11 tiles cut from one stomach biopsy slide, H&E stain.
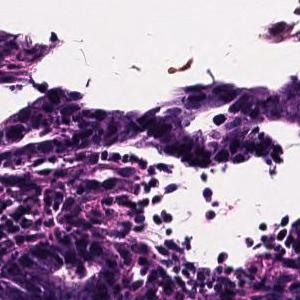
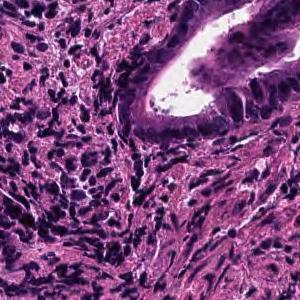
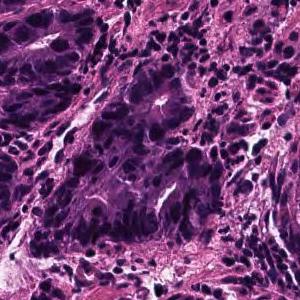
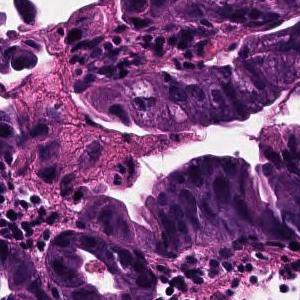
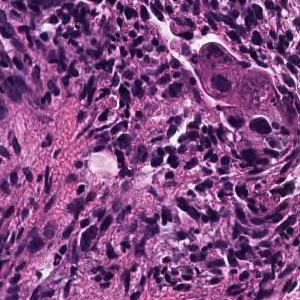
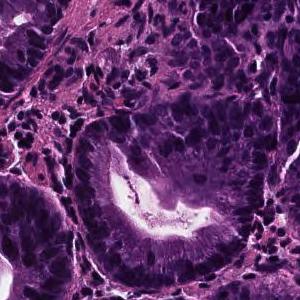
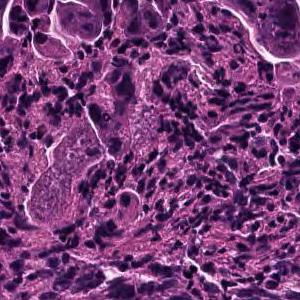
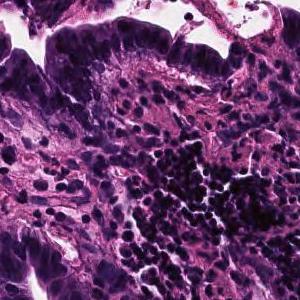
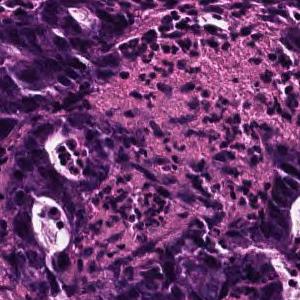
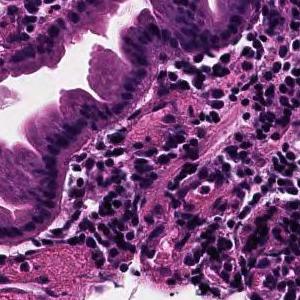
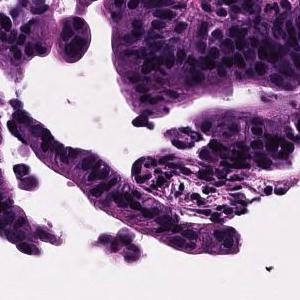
The pathologist's report on the biopsy slide these tiles were taken from. The findings and the diagnosis refer to the entire slide; these tiles show only part of it, possibly with non-tumor tissue, and may not show every feature named.
On the superficial epithelium, tumor tissue consisting of large, irregular glandular ducts partially fused and infiltrated is observed. Well to moderately differentiated tubular adenocarcinoma (well differentiated tubular adenocarcinoma, moderately differentiated tubular adenocarcinoma)
Histologic type: Well to moderately differentiated tubular adenocarcinoma.
